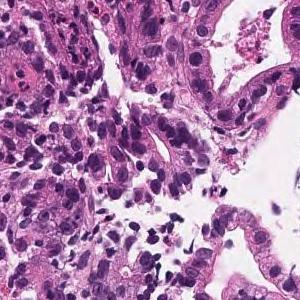
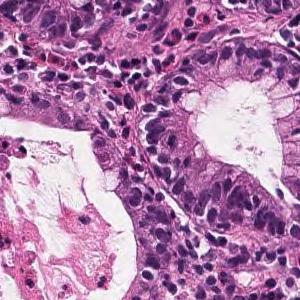
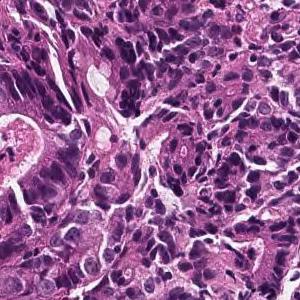
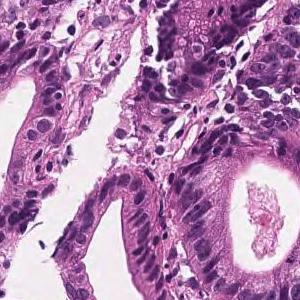
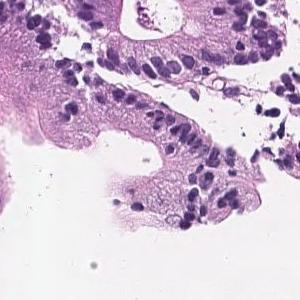
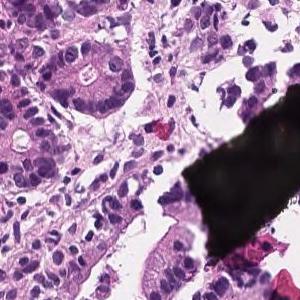
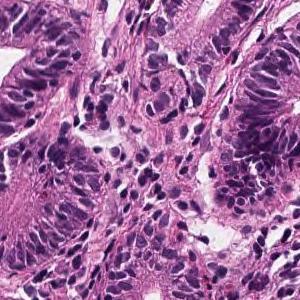
20× magnification · hematoxylin and eosin stain · 7 patches cut from one gastric biopsy slide · 300 × 300 pixels each.
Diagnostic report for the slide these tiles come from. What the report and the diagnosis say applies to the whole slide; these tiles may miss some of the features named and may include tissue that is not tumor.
In the superficial epithelium, tumor tissue that invades by forming medium-sized to small, irregular ducts is observed. Moderately differentiated adenocarcinoma.
Histologic type: Moderately differentiated tubular adenocarcinoma.
